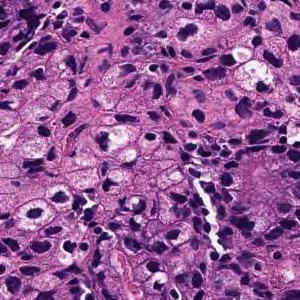
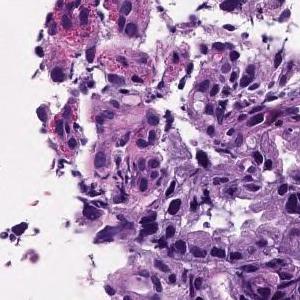
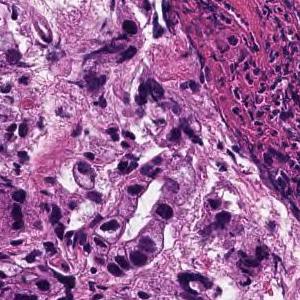
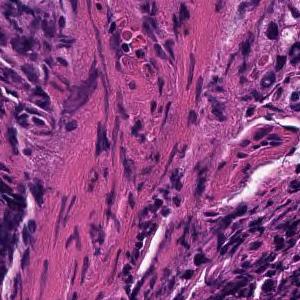
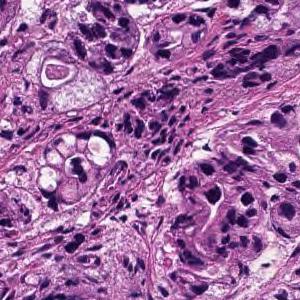
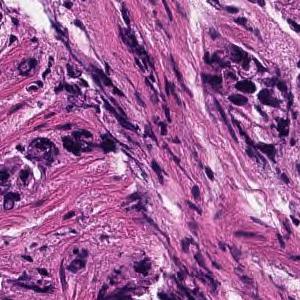
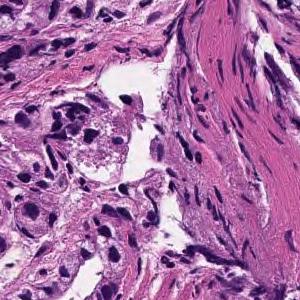
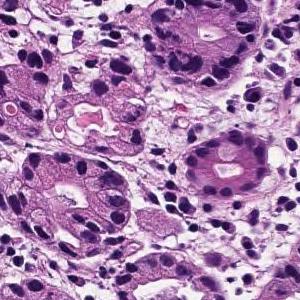
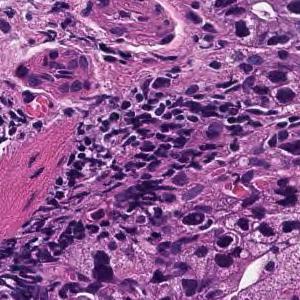
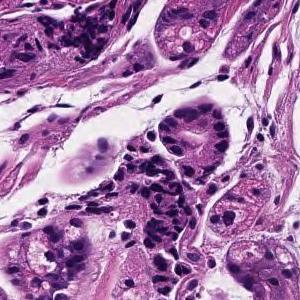
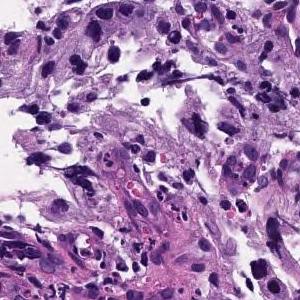
Hematoxylin and eosin stain · 11 image tiles from a single gastric biopsy slide.
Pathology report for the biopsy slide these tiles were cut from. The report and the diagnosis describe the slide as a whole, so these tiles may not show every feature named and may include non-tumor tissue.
In the superficial epithelium, tumor tissue that invades by forming medium-sized to small, irregular ducts is observed. moderately differentiated tubular adenocarcinoma.
